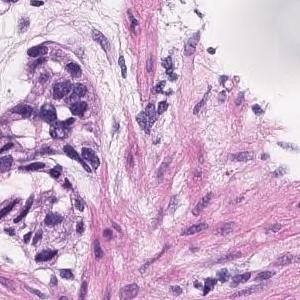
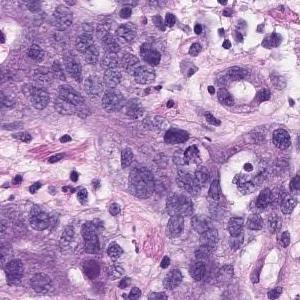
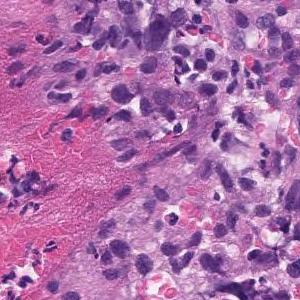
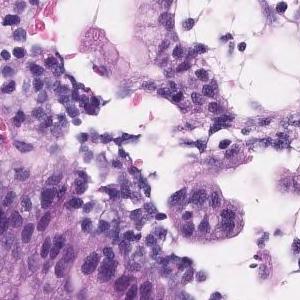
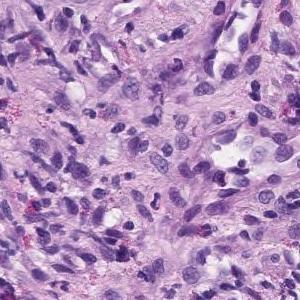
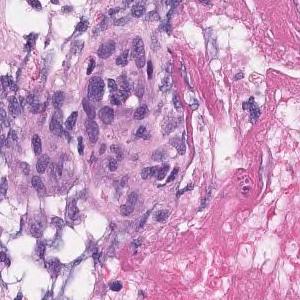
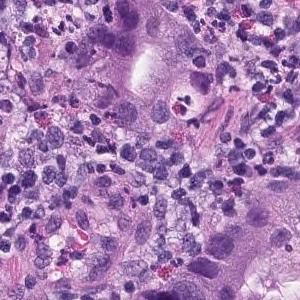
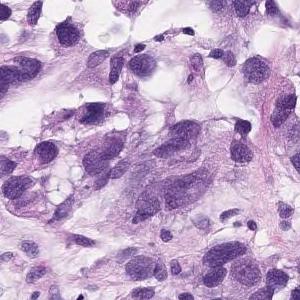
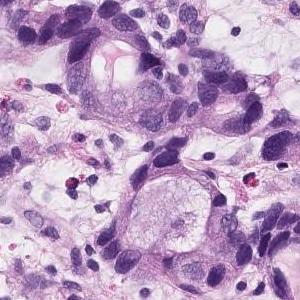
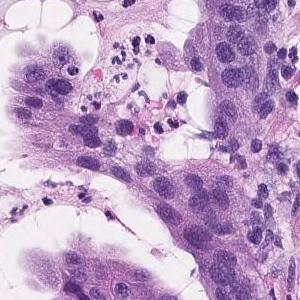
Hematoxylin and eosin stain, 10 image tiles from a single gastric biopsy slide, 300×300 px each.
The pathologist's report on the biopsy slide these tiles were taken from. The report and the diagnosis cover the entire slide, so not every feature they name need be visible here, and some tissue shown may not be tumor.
Group 5, Adenocarcinoma. Moderately to poorly differentiated adenocarcinoma
